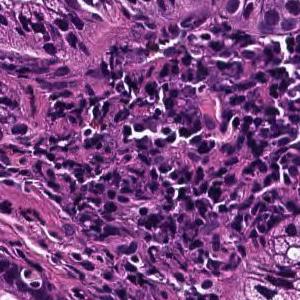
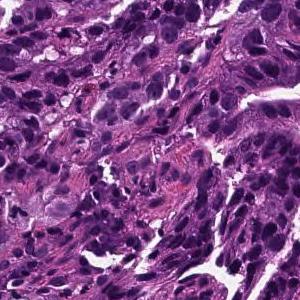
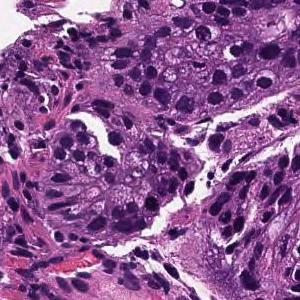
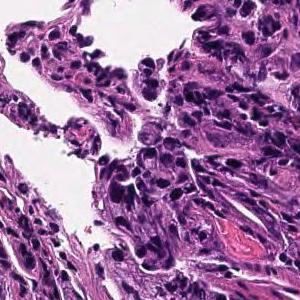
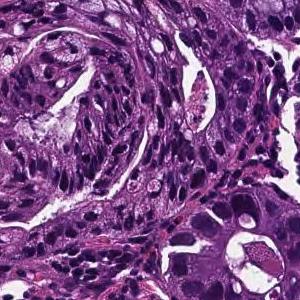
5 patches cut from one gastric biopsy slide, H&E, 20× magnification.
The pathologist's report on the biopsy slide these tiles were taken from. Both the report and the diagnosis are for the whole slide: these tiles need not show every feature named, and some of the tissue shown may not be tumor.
In the superficial epithelium, tumor tissue that invades by forming medium-sized to small, irregular ducts is observed. moderately differentiated tubular adenocarcinoma.
